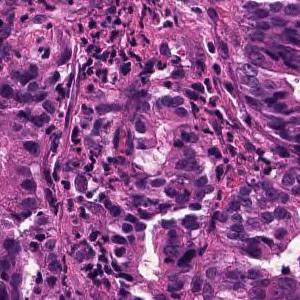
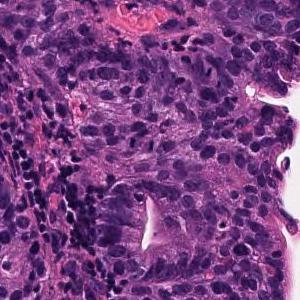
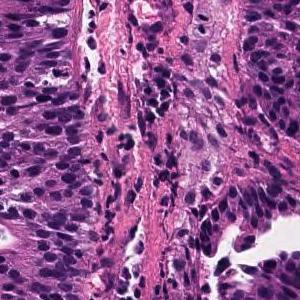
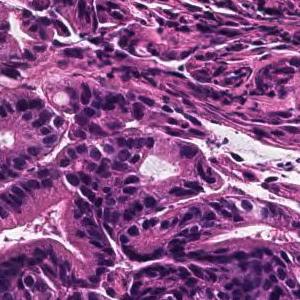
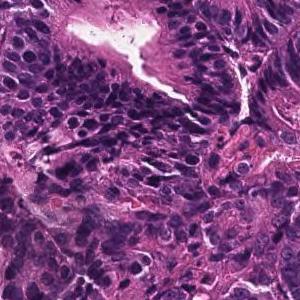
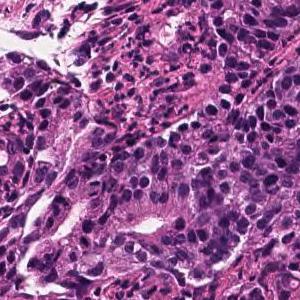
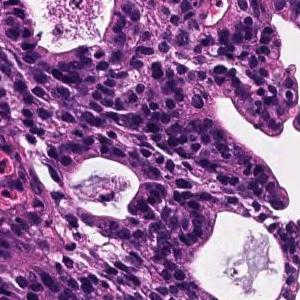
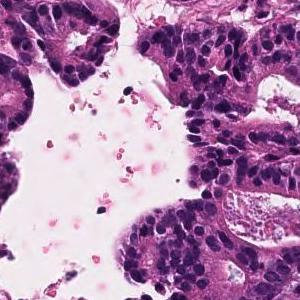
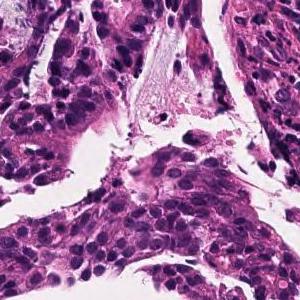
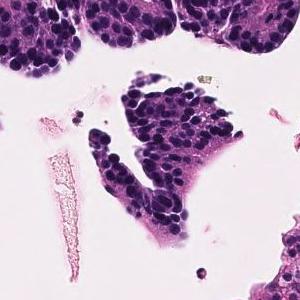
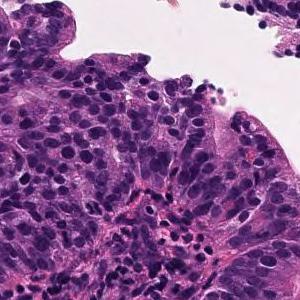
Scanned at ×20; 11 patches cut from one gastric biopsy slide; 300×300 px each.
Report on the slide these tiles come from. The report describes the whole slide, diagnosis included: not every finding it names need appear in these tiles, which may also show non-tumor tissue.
In the superficial epithelium, tumor tissue that invades by forming medium-sized to small, irregular ducts is observed. Moderately differentiated adenocarcinoma.
Histologic type: Moderately differentiated tubular adenocarcinoma.
